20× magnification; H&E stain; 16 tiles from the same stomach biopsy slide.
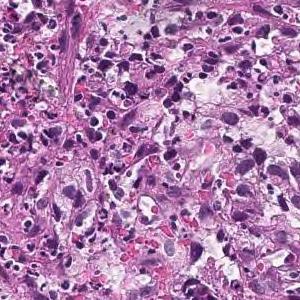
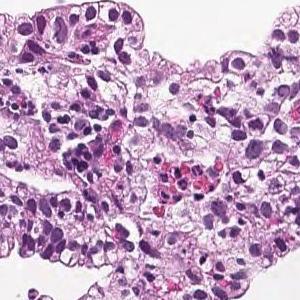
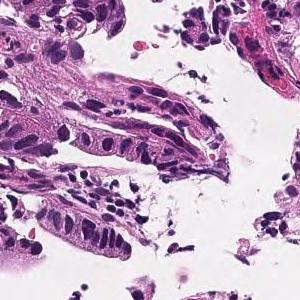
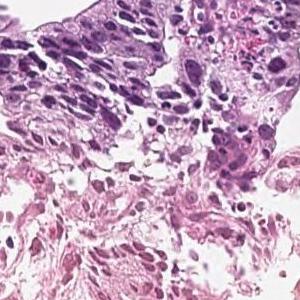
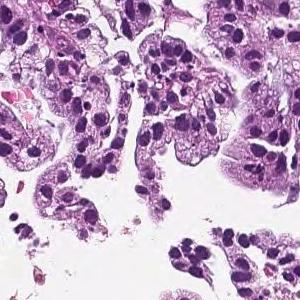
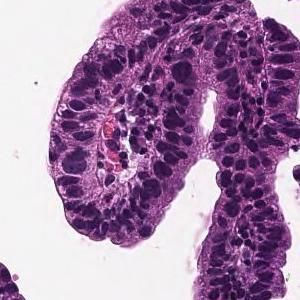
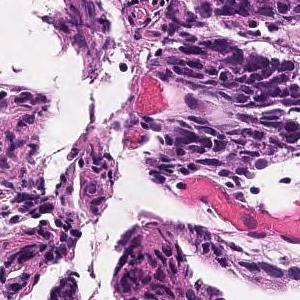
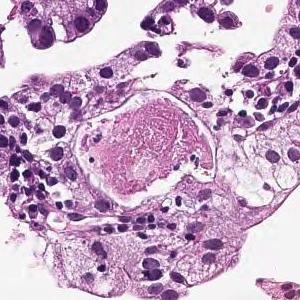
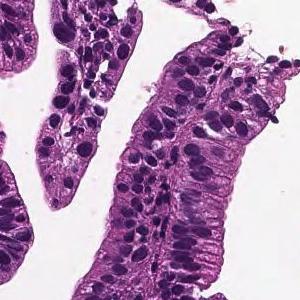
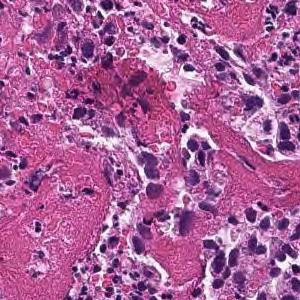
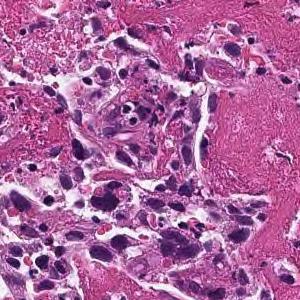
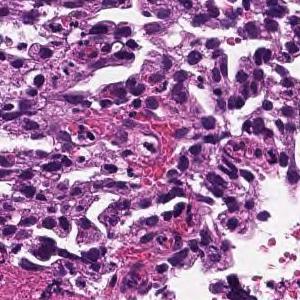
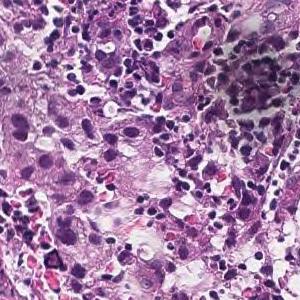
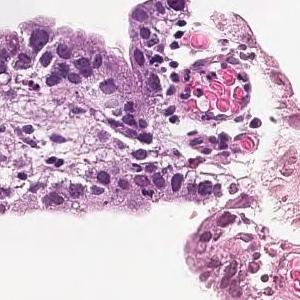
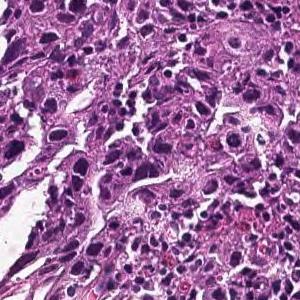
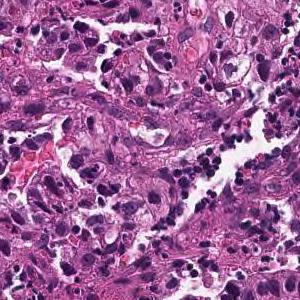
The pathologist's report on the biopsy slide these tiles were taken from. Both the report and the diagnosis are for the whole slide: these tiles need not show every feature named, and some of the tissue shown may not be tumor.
Tumor tissue consisting of medium-sized, cord-like or irregular glandular infiltration is observed in the superficial epithelium. Poorly differentiated adenocarcinoma, non-solid type or moderately differentiated tubular adenocarcinoma
Histologic type: Moderately to poorly differentiated adenocarcinoma.
"Non-solid type" is a category of the Japanese Classification of Gastric Carcinoma.
